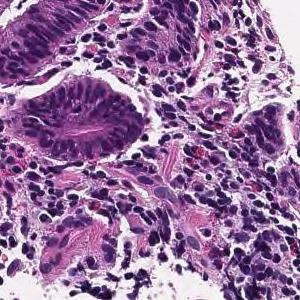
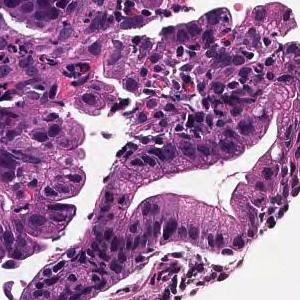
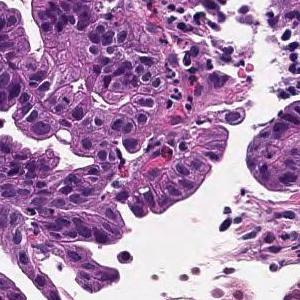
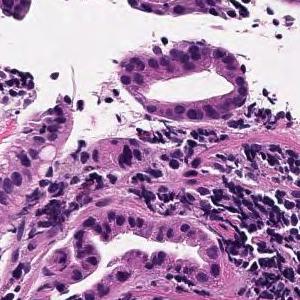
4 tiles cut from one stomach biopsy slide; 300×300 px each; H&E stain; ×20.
Pathology report for the slide these tiles were cut from. The findings and the diagnosis refer to the entire slide; these tiles show only part of it, possibly with non-tumor tissue, and may not show every feature named.
From the superficial epithelium to the muscularis mucosae, tumor tissue that invades by forming medium-sized to small irregular gland ducts is observed. Well differentiated tubular adenocarcinoma (well differentiated tubular adenocarcinoma)
Histologic type: Well differentiated tubular adenocarcinoma.
